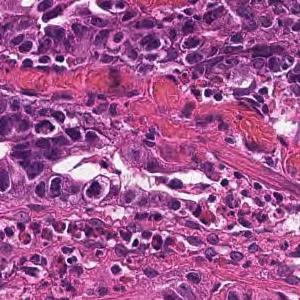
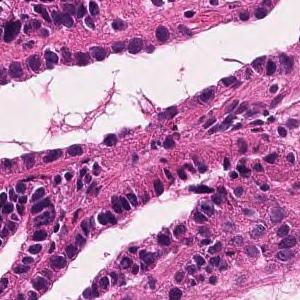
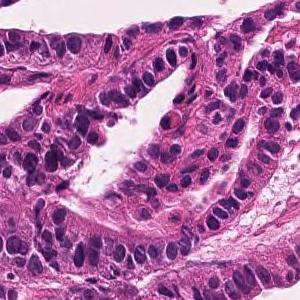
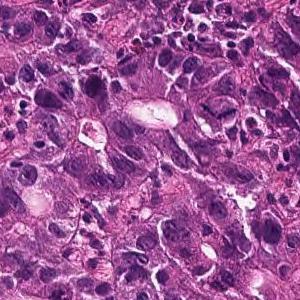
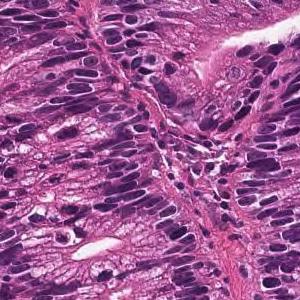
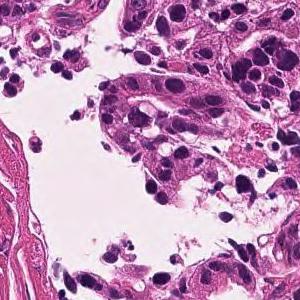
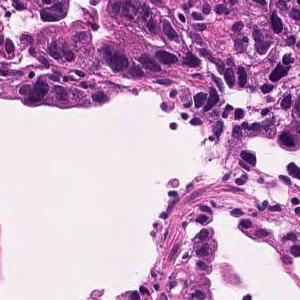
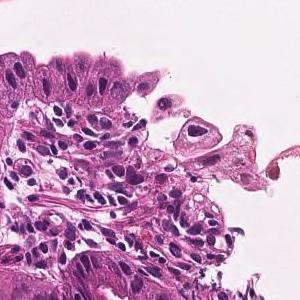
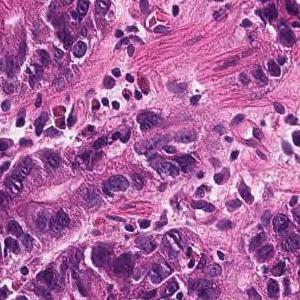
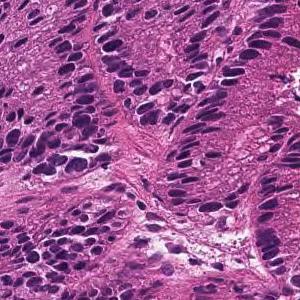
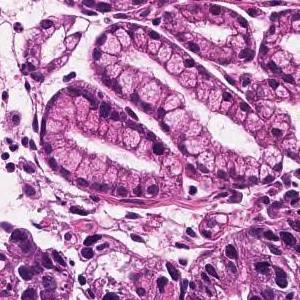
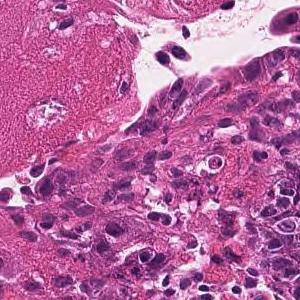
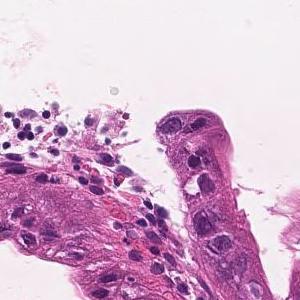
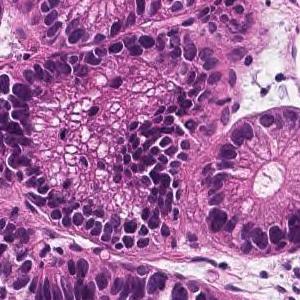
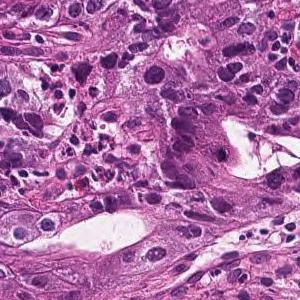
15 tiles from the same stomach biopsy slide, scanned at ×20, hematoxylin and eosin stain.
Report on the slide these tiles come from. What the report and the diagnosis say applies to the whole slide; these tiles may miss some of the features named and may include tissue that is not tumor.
In the superficial epithelium, tumor tissue that invades by forming medium-sized to small, irregular ducts is observed. moderately differentiated tubular adenocarcinoma.
